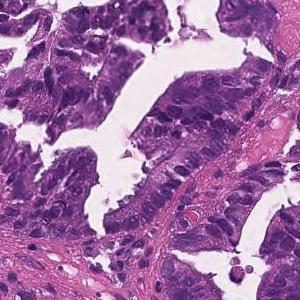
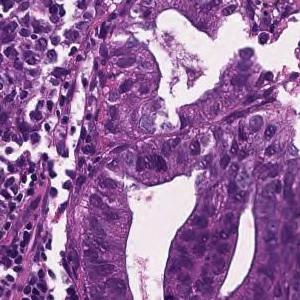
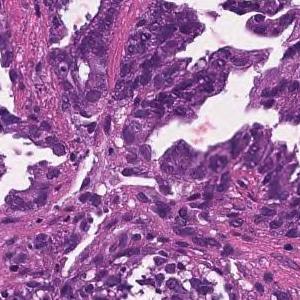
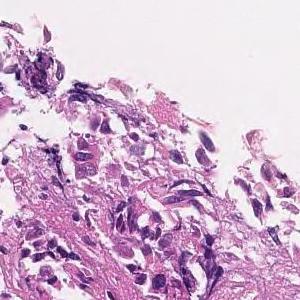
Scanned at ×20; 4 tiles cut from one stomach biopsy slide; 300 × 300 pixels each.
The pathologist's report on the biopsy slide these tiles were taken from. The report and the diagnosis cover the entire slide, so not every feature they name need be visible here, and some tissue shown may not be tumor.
On the superficial epithelium, tumor tissue consisting of large, irregular glandular ducts partially fused and infiltrated is observed. Well to moderately differentiated tubular adenocarcinoma (well differentiated tubular adenocarcinoma, moderately differentiated tubular adenocarcinoma)
Subtype: Well to moderately differentiated tubular adenocarcinoma.
